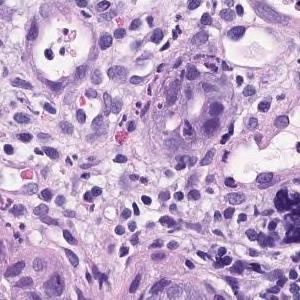
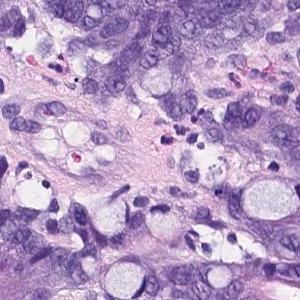
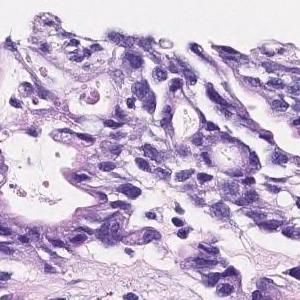
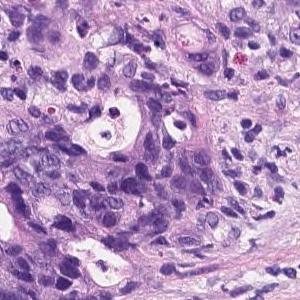
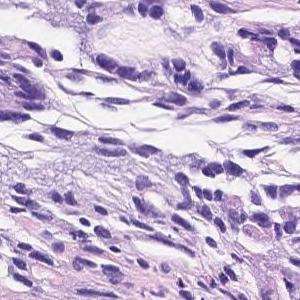
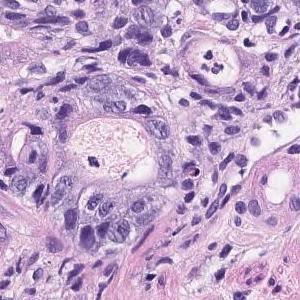
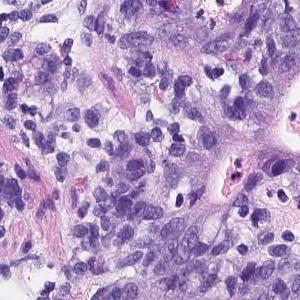
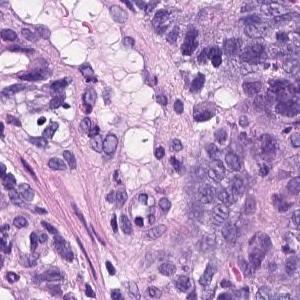
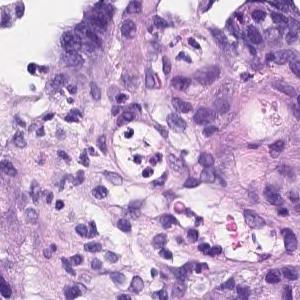
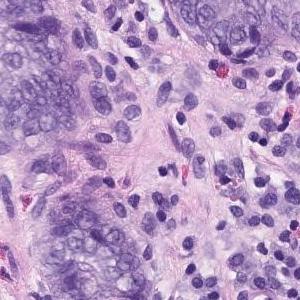
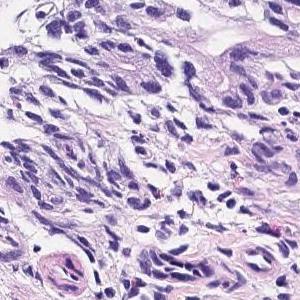
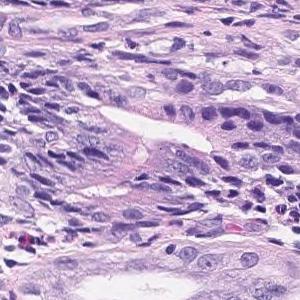
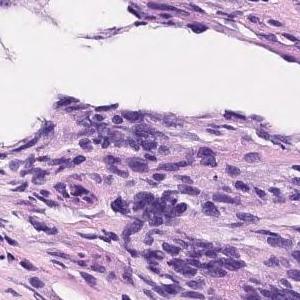
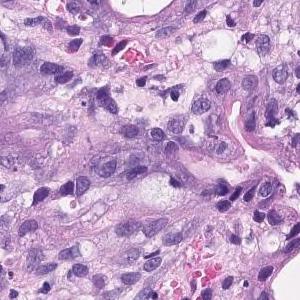
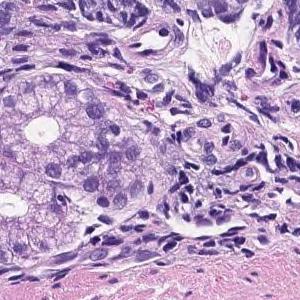
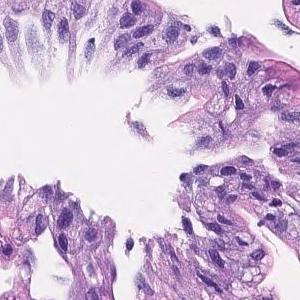
16 tiles cut from one stomach biopsy slide, H&E, 20× magnification.
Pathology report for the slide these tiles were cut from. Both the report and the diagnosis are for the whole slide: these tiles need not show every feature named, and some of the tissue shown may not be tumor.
Irregularly fused atypical ducts proliferating while replacing existing ducts was observed. moderately differentiated tubular adenocarcinoma
